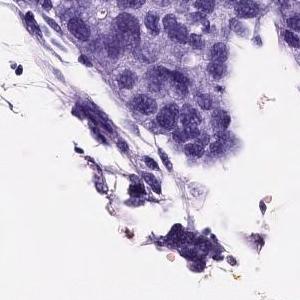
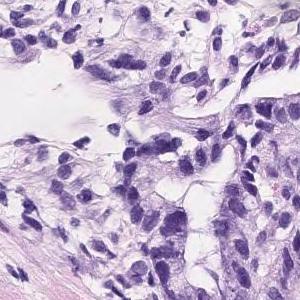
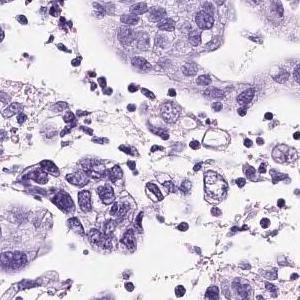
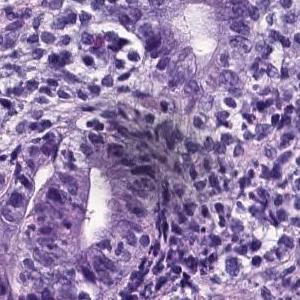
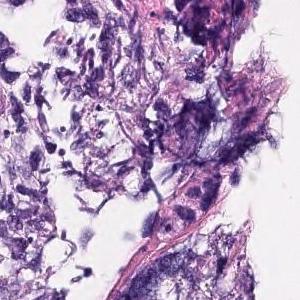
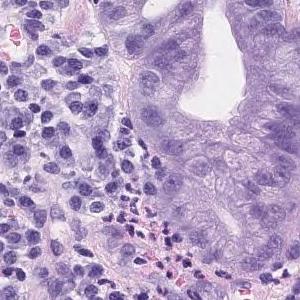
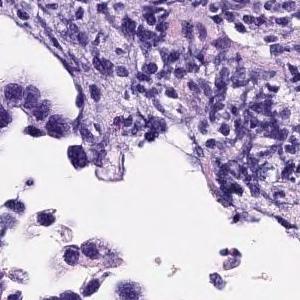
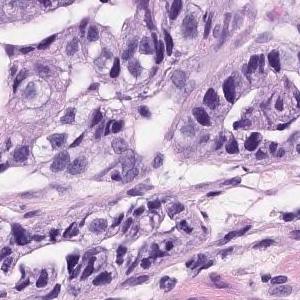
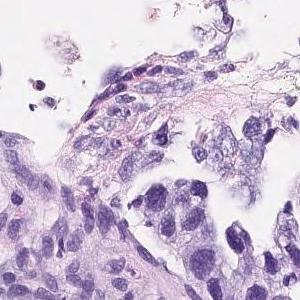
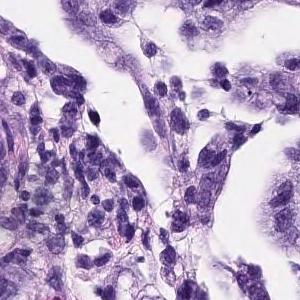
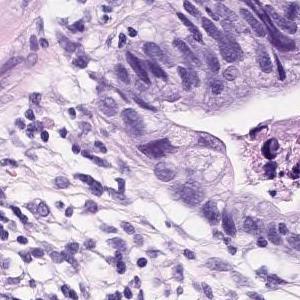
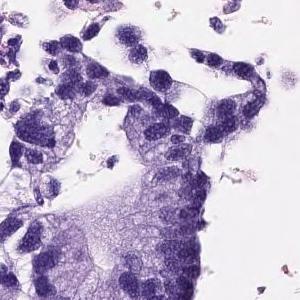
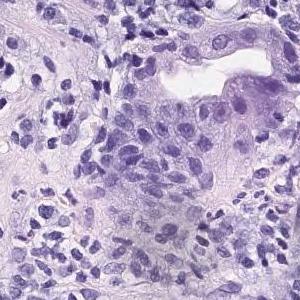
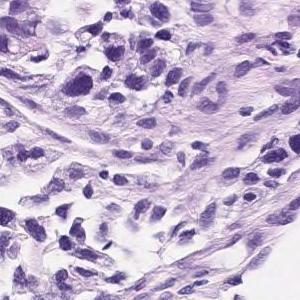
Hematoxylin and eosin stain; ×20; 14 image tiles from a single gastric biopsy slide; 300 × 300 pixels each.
Diagnostic report for the slide these tiles come from. Both the report and the diagnosis are for the whole slide: these tiles need not show every feature named, and some of the tissue shown may not be tumor.
On the superficial epithelium, tumor tissue consisting of medium to small irregular tubules partially fused and proliferated is observed. moderately differentiated tubular adenocarcinoma
